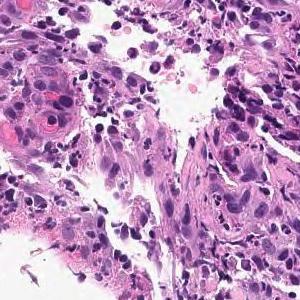
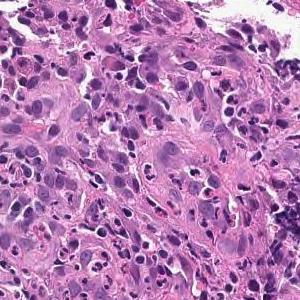
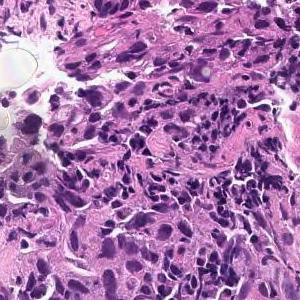
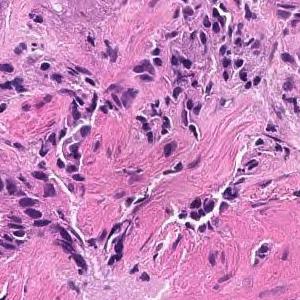
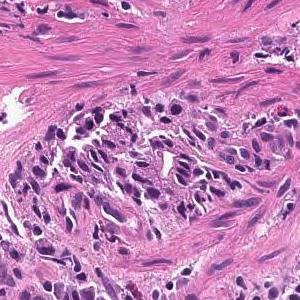
5 patches cut from one gastric biopsy slide · ×20.
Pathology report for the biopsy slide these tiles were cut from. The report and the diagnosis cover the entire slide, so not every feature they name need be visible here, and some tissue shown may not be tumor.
On the superficial epithelium, tumor tissue consisting of large irregular glandular ducts partially fused and infiltrated is observed. Well to moderately differentiated tubular adenocarcinoma (well differentiated tubular adenocarcinoma, moderately differentiated tubular adenocarcinoma)
Histological subtype: Well to moderately differentiated tubular adenocarcinoma.
